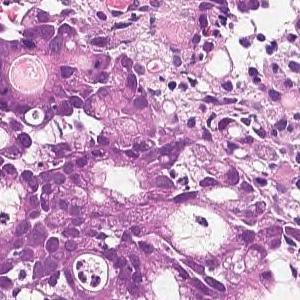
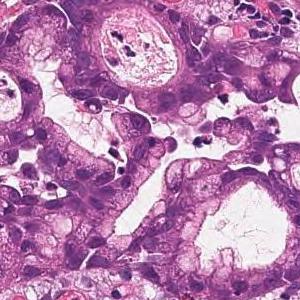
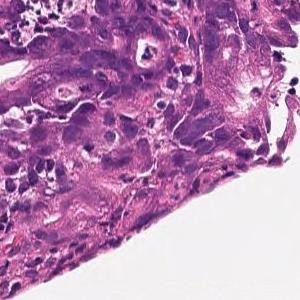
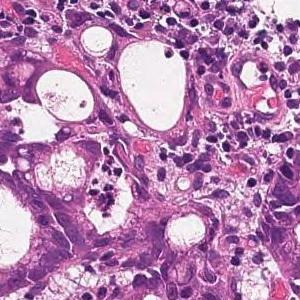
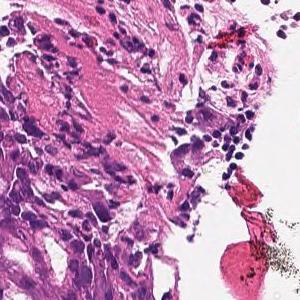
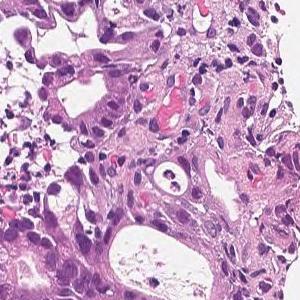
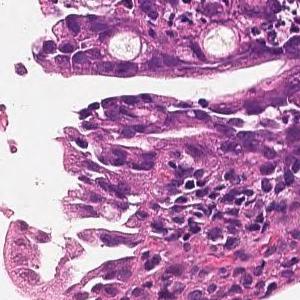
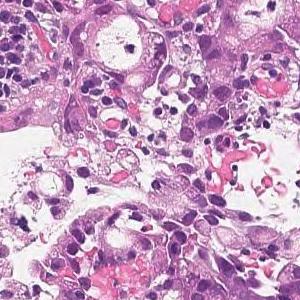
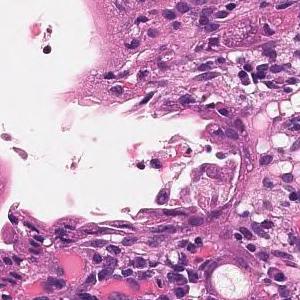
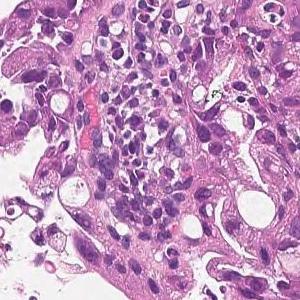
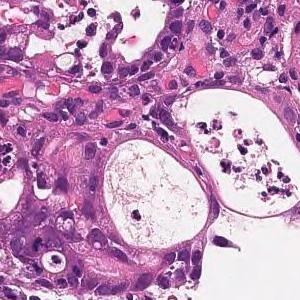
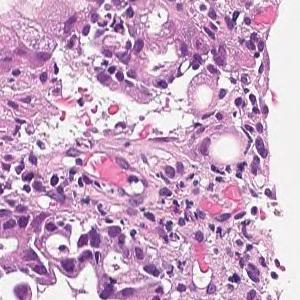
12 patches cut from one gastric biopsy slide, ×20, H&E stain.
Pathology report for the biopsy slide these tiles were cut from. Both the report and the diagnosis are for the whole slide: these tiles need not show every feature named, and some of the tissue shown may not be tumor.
In the superficial epithelium, tumor tissue that invades by forming medium-sized to small, irregular ducts is observed. moderately differentiated tubular adenocarcinoma.
